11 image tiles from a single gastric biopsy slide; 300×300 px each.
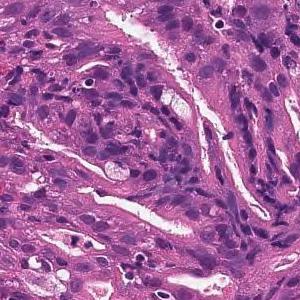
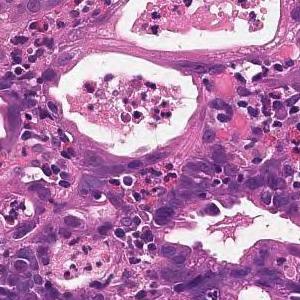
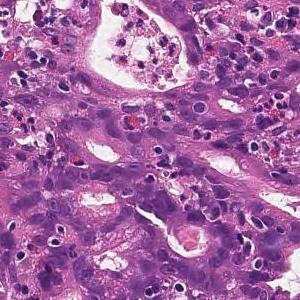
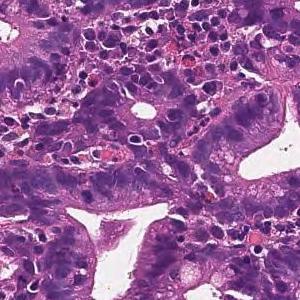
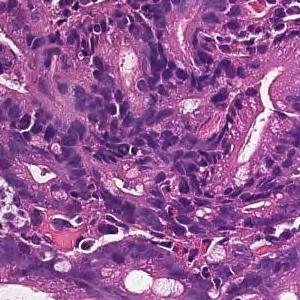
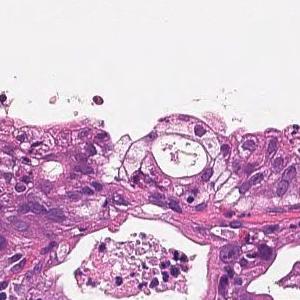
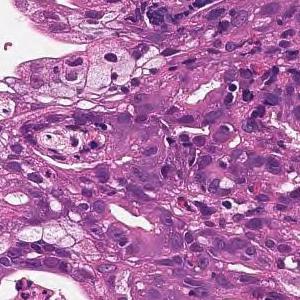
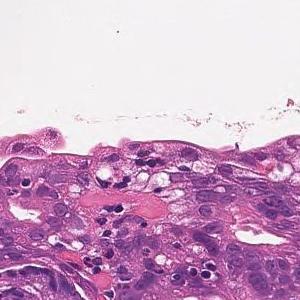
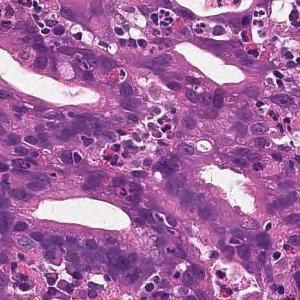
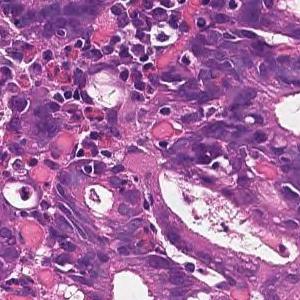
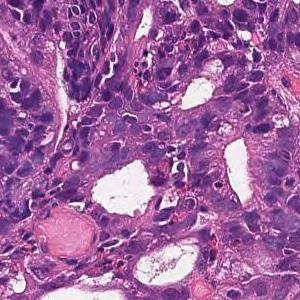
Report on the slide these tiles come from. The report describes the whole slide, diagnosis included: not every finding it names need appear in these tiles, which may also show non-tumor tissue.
From the superficial epithelium to the muscularis mucosae, tumor tissue consisting of medium-sized and irregular glandular ducts infiltrating is observed. Well differentiated tubular adenocarcinoma
